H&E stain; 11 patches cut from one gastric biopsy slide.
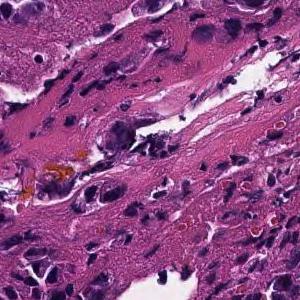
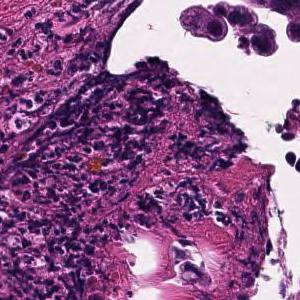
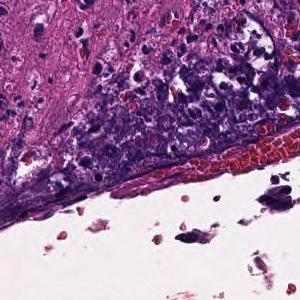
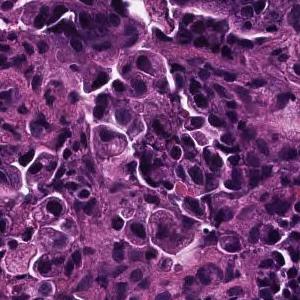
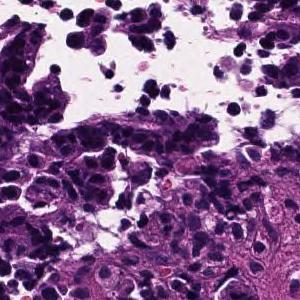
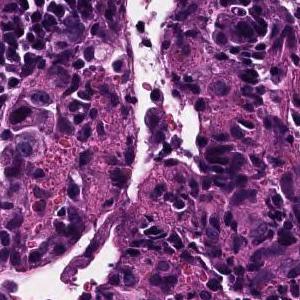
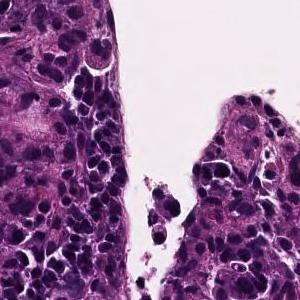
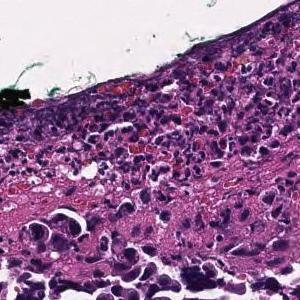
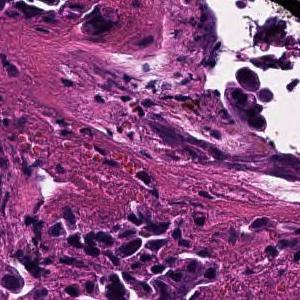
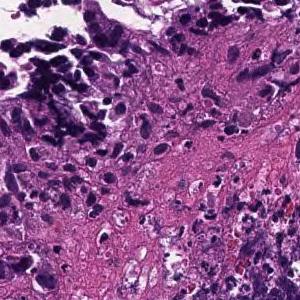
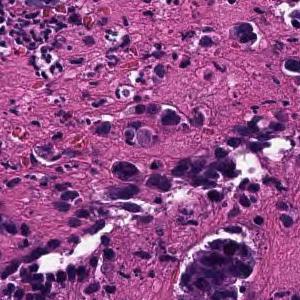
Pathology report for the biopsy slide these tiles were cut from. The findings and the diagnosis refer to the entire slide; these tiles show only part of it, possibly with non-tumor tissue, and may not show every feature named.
Tumor tissue consisting of cord-like or small, irregular glandular ducts fused and infiltrated is observed in the superficial epithelium. Poorly differentiated adenocarcinoma, non-solid type
The term "non-solid type" comes from the Japanese Classification of Gastric Carcinoma.
